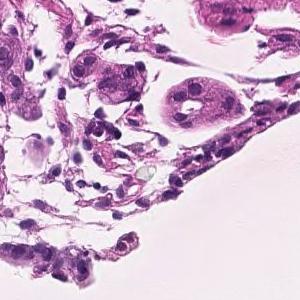
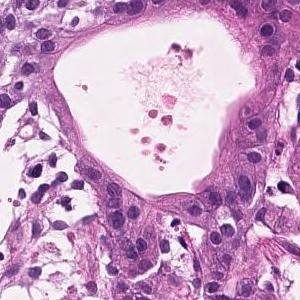
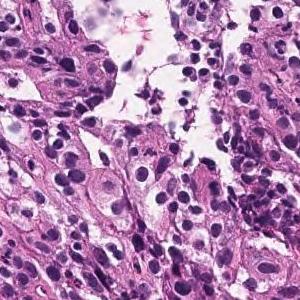
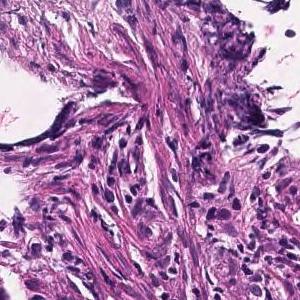
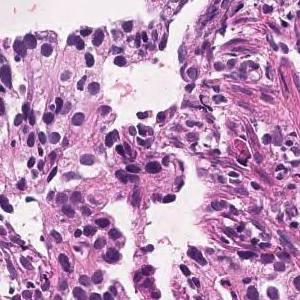
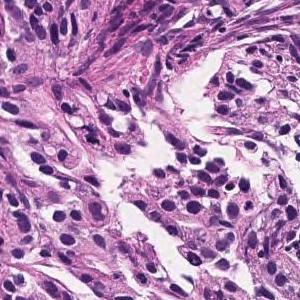
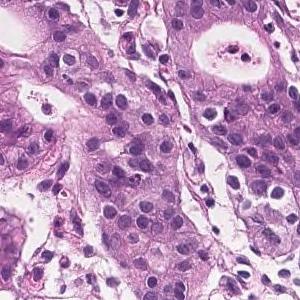
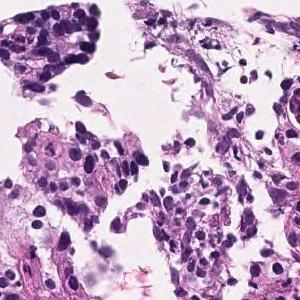
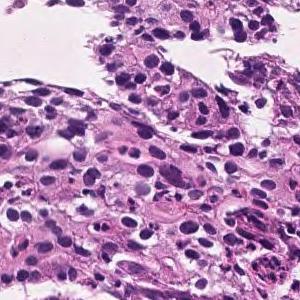
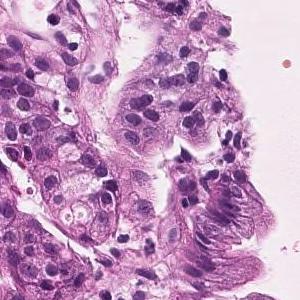
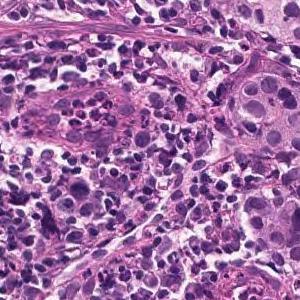
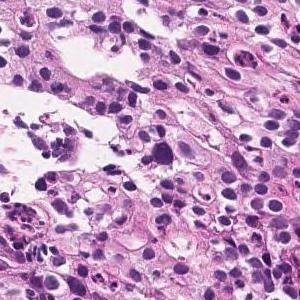
12 tiles cut from one stomach biopsy slide; H&E stain; scanned at ×20.
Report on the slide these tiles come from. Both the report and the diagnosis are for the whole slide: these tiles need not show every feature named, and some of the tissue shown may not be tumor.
Medium to small, irregular glandular ducts are formed in the superficial epithelium, and in some cases, the glandular ducts are fused to show solid alveolar lesions and infiltrating tumor tissue is observed. Moderately to poorly differentiated adenocarcinoma.
